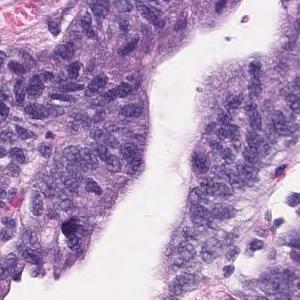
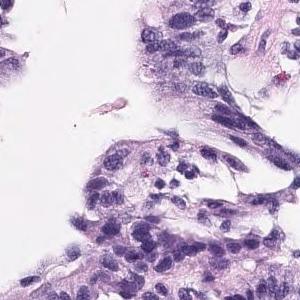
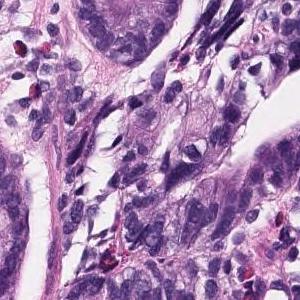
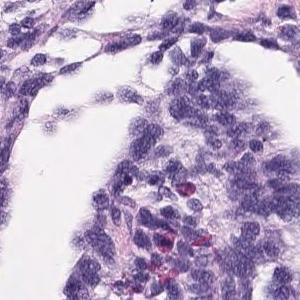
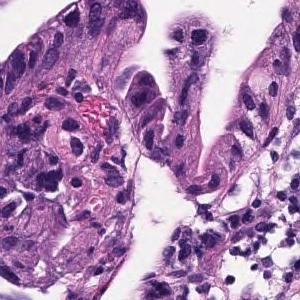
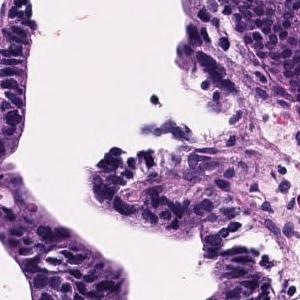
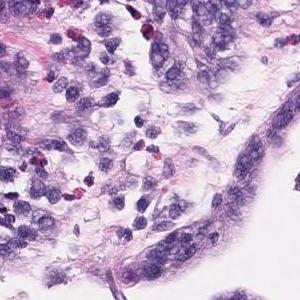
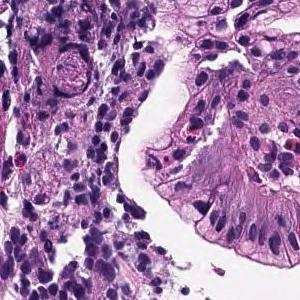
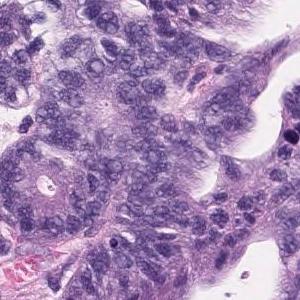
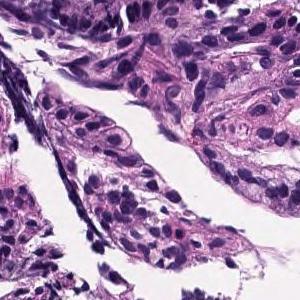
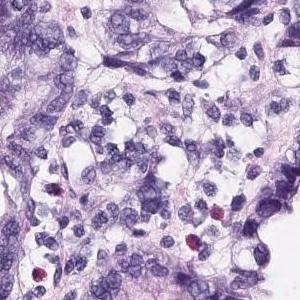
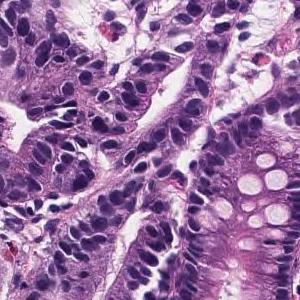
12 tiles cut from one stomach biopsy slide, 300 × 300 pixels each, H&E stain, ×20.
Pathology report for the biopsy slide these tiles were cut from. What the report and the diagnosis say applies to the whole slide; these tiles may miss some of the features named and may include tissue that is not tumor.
Tumor cells are large, highly columnar, large club-shaped nuclei, and are associated with chromatin aggregation. Papillary adenocarcinoma.
